4 patches cut from one gastric biopsy slide · hematoxylin and eosin stain · ×20.
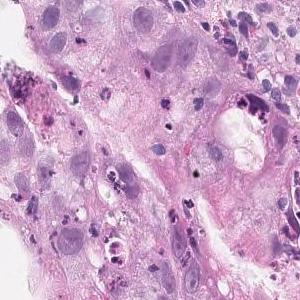
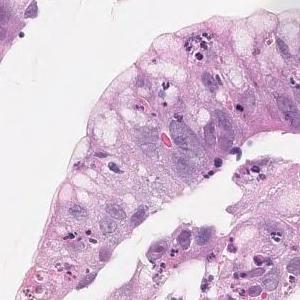
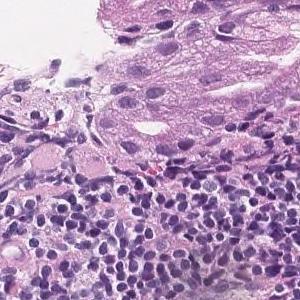
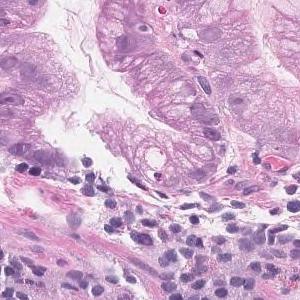
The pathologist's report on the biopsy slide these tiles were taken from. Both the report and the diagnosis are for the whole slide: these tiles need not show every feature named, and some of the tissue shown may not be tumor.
Group 5, Adenocarcinoma. Moderately differentiated tubular adenocarcinoma
